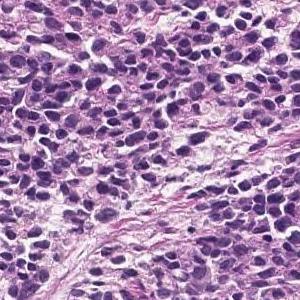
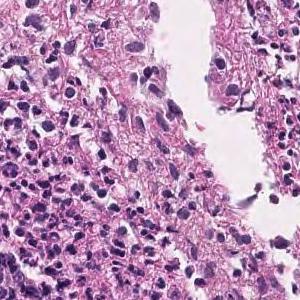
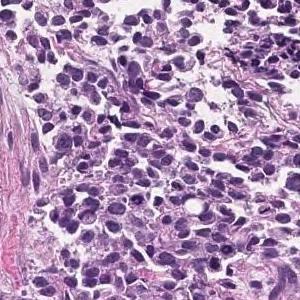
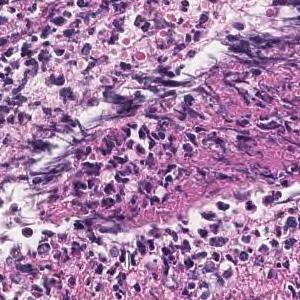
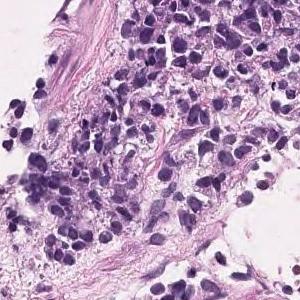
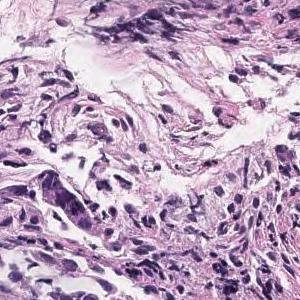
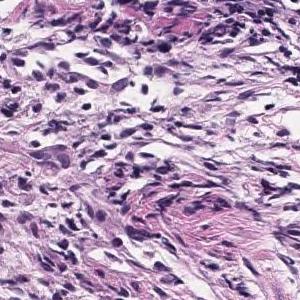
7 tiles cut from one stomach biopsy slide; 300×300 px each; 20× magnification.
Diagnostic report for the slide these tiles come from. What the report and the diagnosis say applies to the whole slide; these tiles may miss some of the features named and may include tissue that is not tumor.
The superficial epithelium shows a large sheet-like shape, and some tumor tissue infiltrates with small irregular ducts. Poorly differentiated adenocarcinoma, solid-type
Subtype: Poorly differentiated adenocarcinoma, solid type (Japanese Classification of Gastric Carcinoma). The WHO 2019 equivalent is tubular adenocarcinoma, poorly differentiated.
